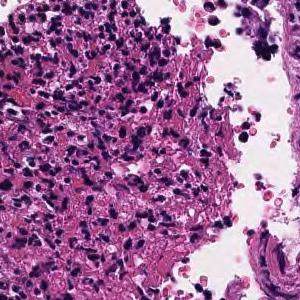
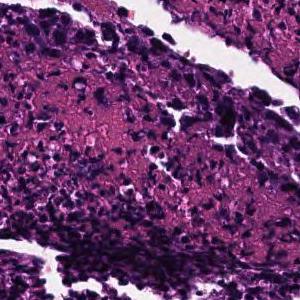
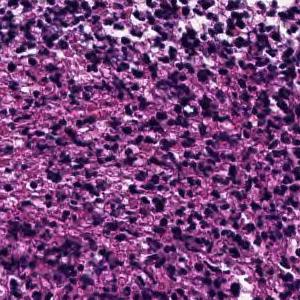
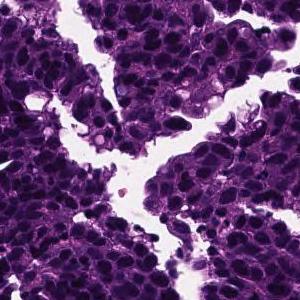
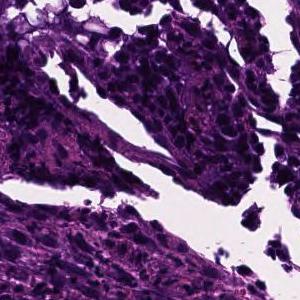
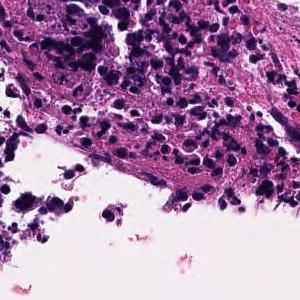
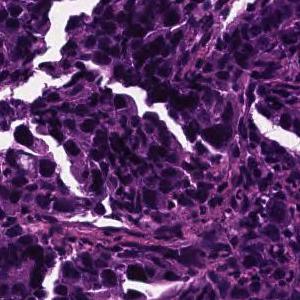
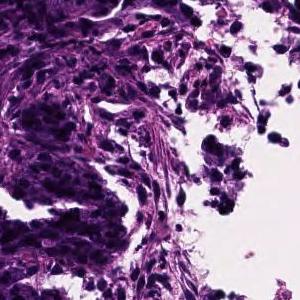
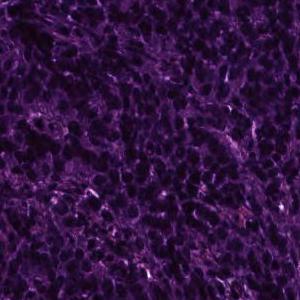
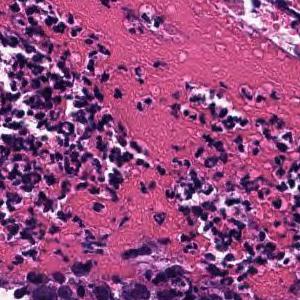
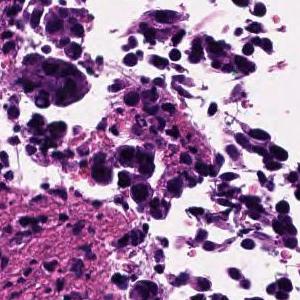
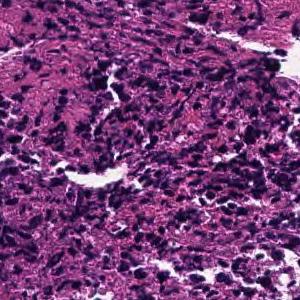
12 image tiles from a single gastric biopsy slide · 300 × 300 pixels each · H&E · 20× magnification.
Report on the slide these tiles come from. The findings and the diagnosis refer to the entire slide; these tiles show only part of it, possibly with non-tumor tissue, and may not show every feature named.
In the superficial epithelium, tumor tissue that invades by forming medium-sized to small, irregular ducts is observed. moderately differentiated tubular adenocarcinoma.
